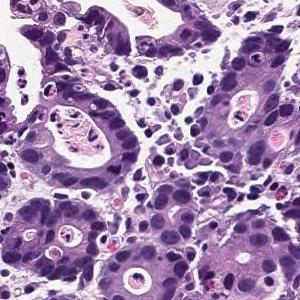
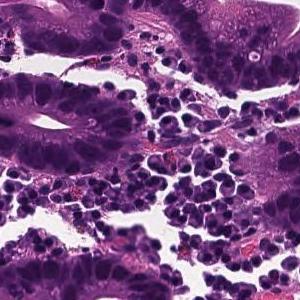
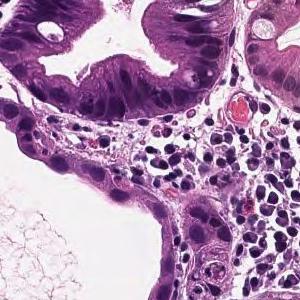
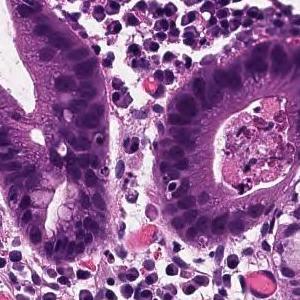
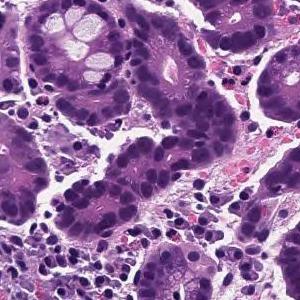
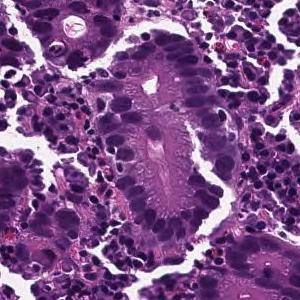
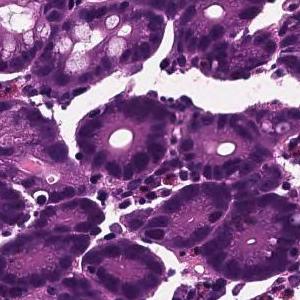
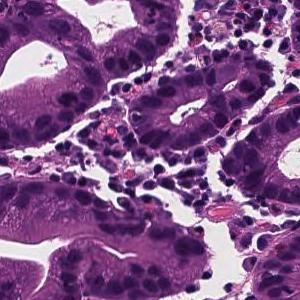
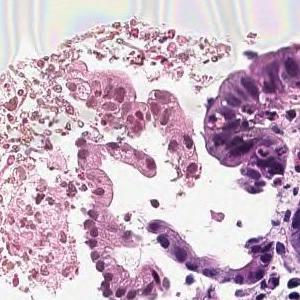
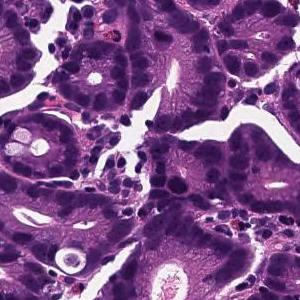
10 tiles from the same stomach biopsy slide; 300 × 300 pixels each; ×20; hematoxylin and eosin stain.
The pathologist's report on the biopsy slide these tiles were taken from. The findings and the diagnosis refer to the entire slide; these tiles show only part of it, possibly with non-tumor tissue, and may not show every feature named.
Cancer cells with strongly atypical nuclei grow while forming ducts showing lumens of various sizes. moderately differentiated tubular adenocarcinoma
